H&E stain, 8 tiles from the same stomach biopsy slide.
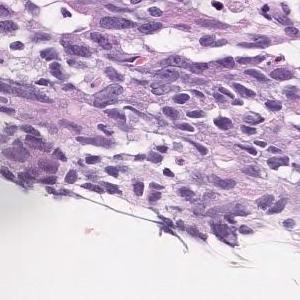
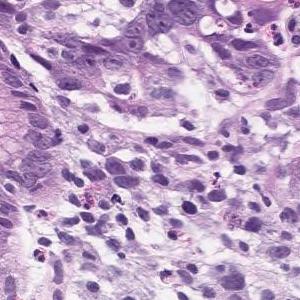
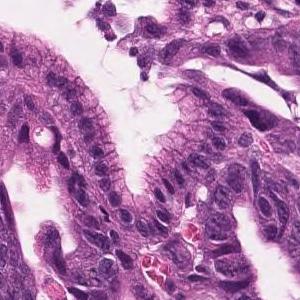
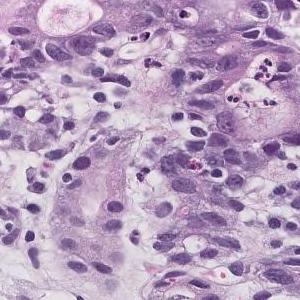
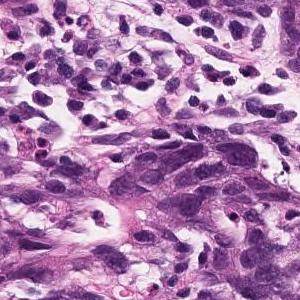
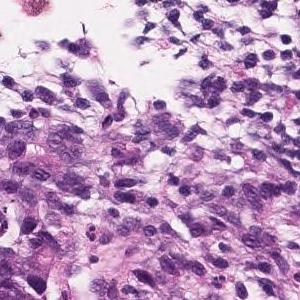
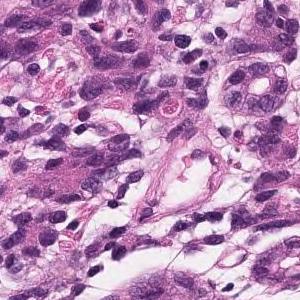
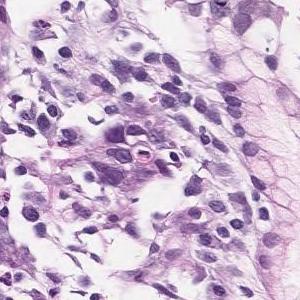
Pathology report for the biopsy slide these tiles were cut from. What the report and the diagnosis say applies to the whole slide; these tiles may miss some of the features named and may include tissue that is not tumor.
It is mixed with the existing pit epithelium and pyloric gland epithelium, and irregularly fused and branched atypical ducts are observed. Moderately differentiated tubular adenocarcinoma (well differentiated tubular adenocarcinoma)
Dataset label: moderately differentiated tubular adenocarcinoma.
